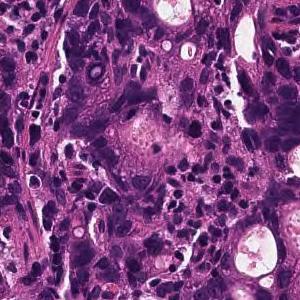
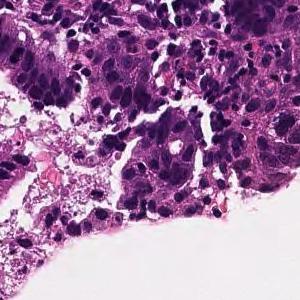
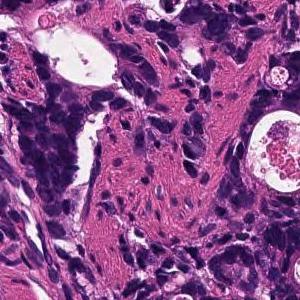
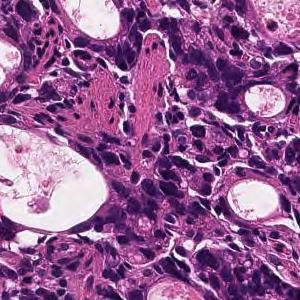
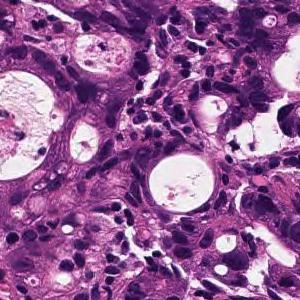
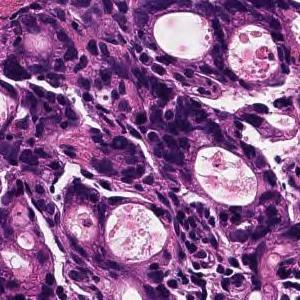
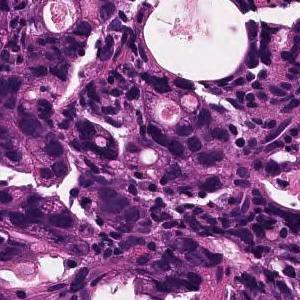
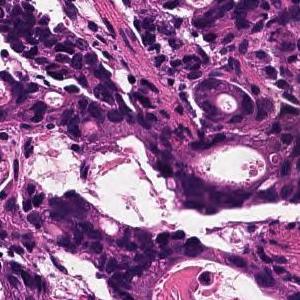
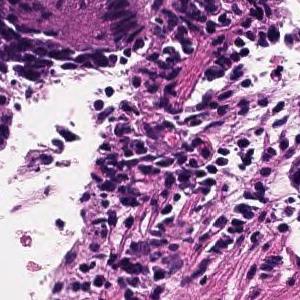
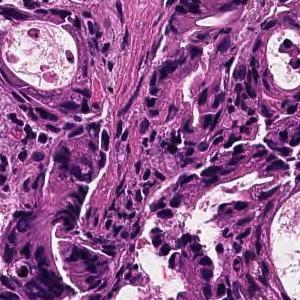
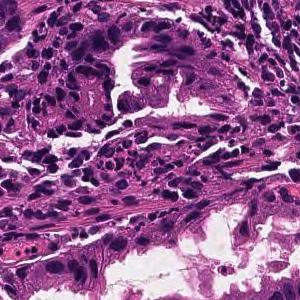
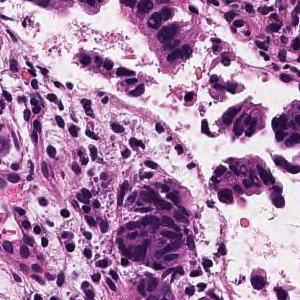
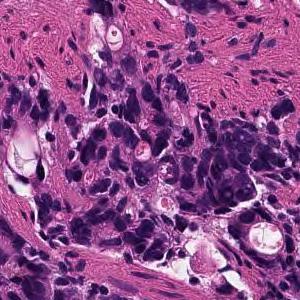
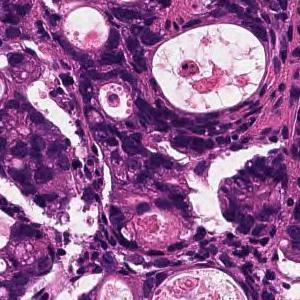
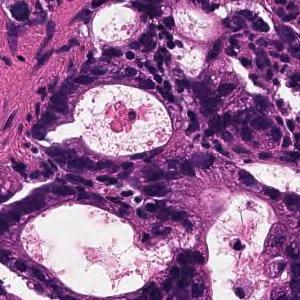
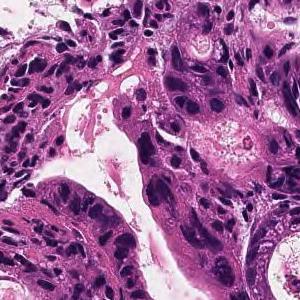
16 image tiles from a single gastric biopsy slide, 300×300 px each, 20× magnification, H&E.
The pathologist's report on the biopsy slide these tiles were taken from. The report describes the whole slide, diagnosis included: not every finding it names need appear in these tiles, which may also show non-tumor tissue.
In the superficial epithelium, tumor tissue that invades by forming medium-sized to small, irregular ducts is observed. moderately differentiated tubular adenocarcinoma.
